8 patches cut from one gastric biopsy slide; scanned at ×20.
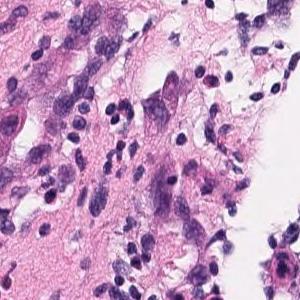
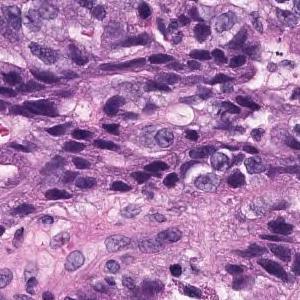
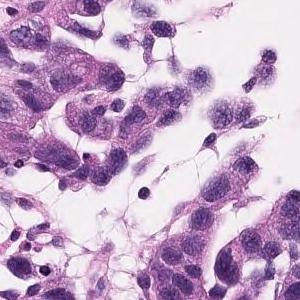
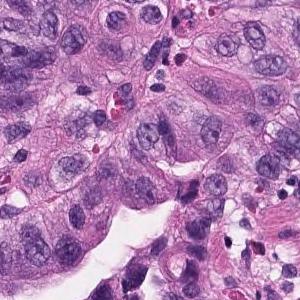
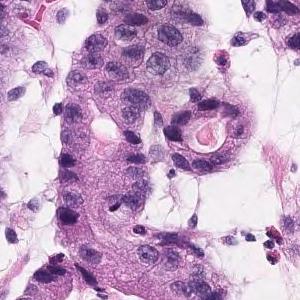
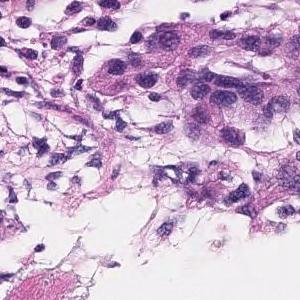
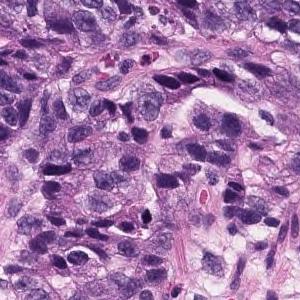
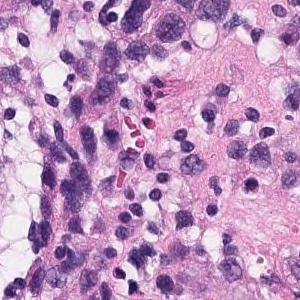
Diagnostic report for the slide these tiles come from. The findings and the diagnosis refer to the entire slide; these tiles show only part of it, possibly with non-tumor tissue, and may not show every feature named.
Atypical l cells with atypical nuclei forming diffuse or small irregular atypical ducts and growing. Moderately to poorly differentiated adenocarcinoma (poorly differentiated adenocarcinoma, solid type, moderately differentiated tubular adenocarcinoma)
Subtype: Moderately to poorly differentiated adenocarcinoma.
The term "solid type" comes from the Japanese Classification of Gastric Carcinoma; the WHO 2019 equivalent is tubular adenocarcinoma, poorly differentiated.
